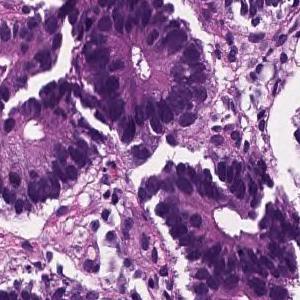
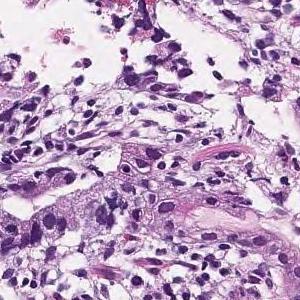
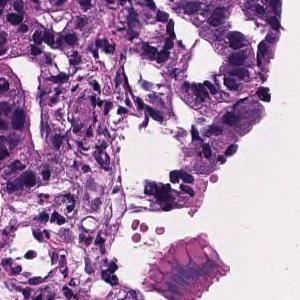
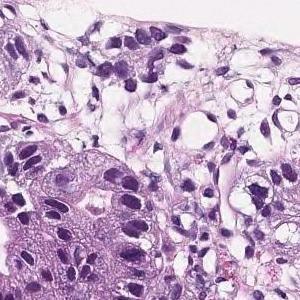
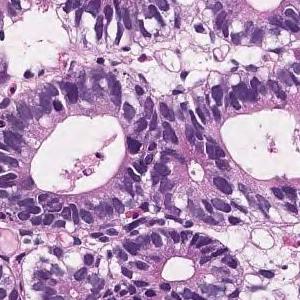
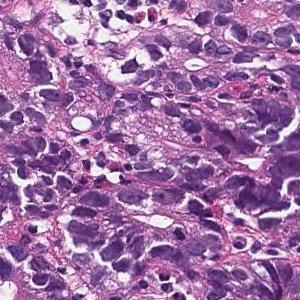
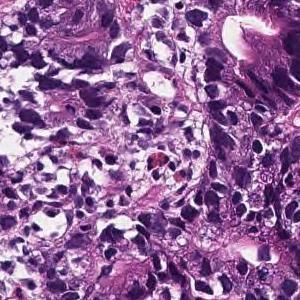
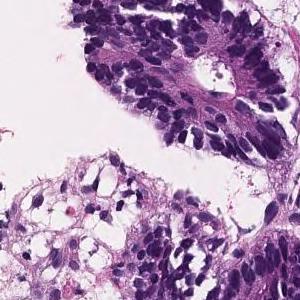
8 patches cut from one gastric biopsy slide · each 300 × 300 pixels · ×20.
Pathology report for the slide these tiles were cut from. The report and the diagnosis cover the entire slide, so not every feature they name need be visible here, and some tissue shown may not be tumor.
On the superficial epithelium, tumor tissue consisting of large, irregular glandular ducts partially fused and infiltrated is observed. Well to moderately differentiated tubular adenocarcinoma (well differentiated tubular adenocarcinoma, moderately differentiated tubular adenocarcinoma)
Subtype: Well to moderately differentiated tubular adenocarcinoma.
